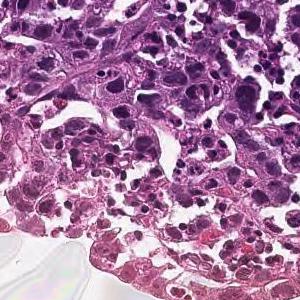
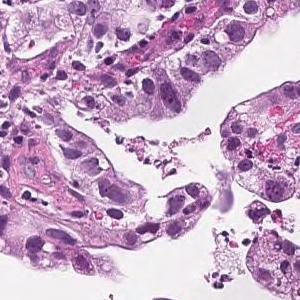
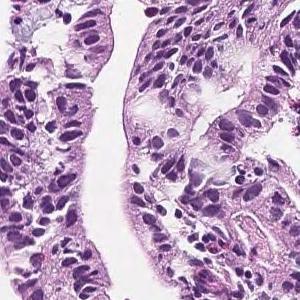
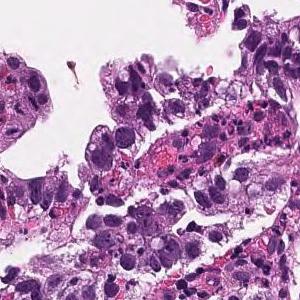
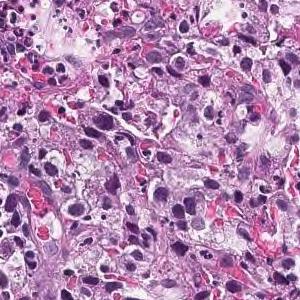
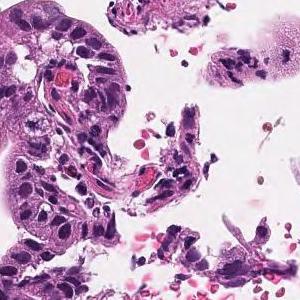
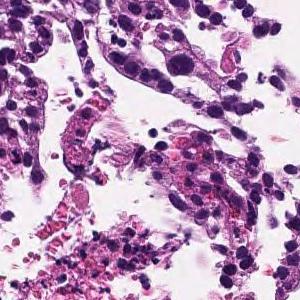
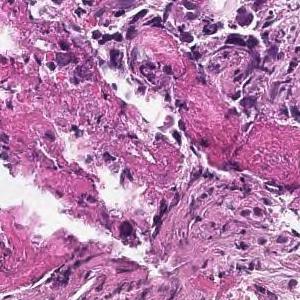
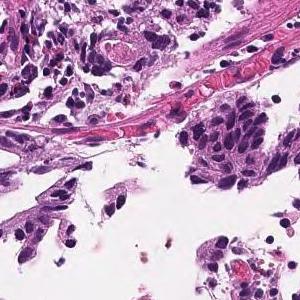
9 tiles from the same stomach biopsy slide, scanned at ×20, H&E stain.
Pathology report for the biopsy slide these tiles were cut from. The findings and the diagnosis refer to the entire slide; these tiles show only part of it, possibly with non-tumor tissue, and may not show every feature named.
Tumor tissue consisting of medium-sized, cord-like or irregular glandular infiltration is observed in the superficial epithelium. Poorly differentiated adenocarcinoma, non-solid type or moderately differentiated tubular adenocarcinoma
Histological subtype: Moderately to poorly differentiated adenocarcinoma.
The term "non-solid type" comes from the Japanese Classification of Gastric Carcinoma.
